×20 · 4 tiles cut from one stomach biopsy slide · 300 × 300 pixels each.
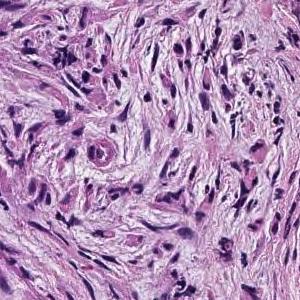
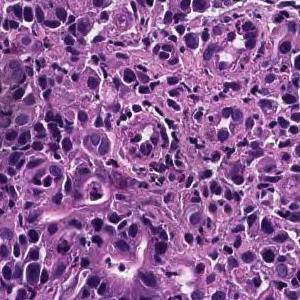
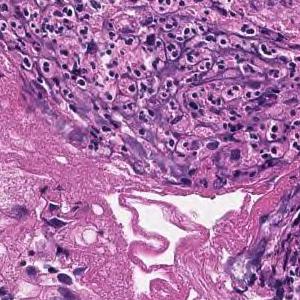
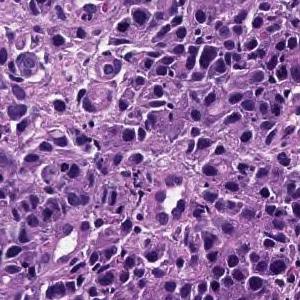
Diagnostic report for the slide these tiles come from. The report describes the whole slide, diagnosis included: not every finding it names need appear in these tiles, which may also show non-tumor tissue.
The superficial epithelium shows a large sheet-like shape, and some tumor tissue infiltrates with small irregular ducts. Poorly differentiated adenocarcinoma, solid-type
Classified as poorly differentiated adenocarcinoma, solid type, a category of the Japanese Classification of Gastric Carcinoma; in the WHO 2019 classification it is tubular adenocarcinoma, poorly differentiated.
